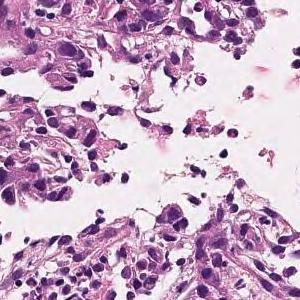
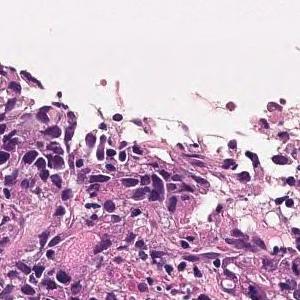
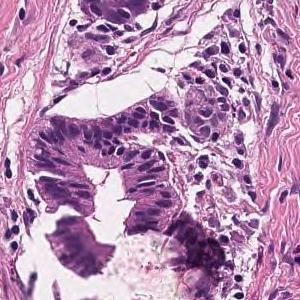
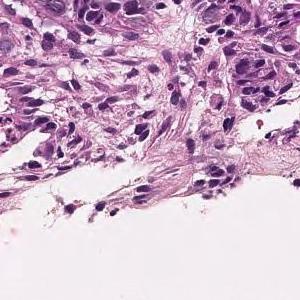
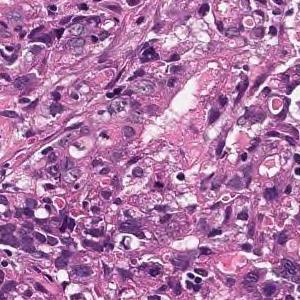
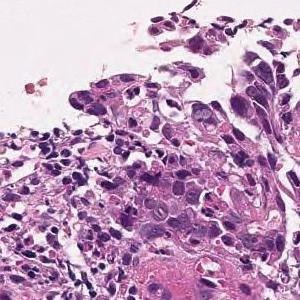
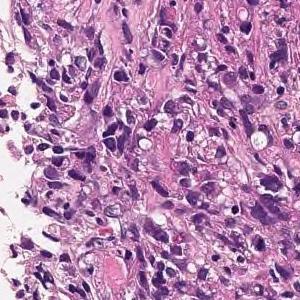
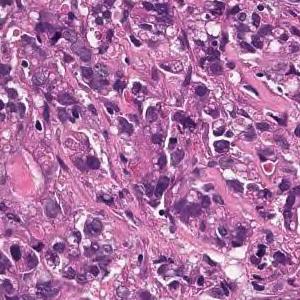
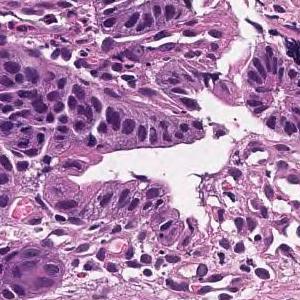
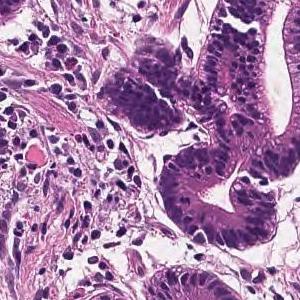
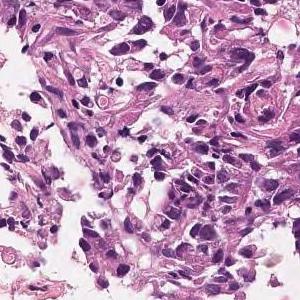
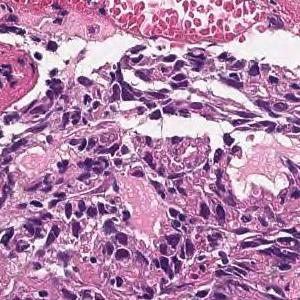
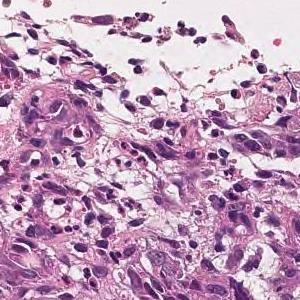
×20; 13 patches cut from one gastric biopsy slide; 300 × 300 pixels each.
Pathology report for the biopsy slide these tiles were cut from. What the report and the diagnosis say applies to the whole slide; these tiles may miss some of the features named and may include tissue that is not tumor.
Tumor tissue consisting of cord-like or small, irregular glandular ducts fused and infiltrated is observed in the superficial epithelium. Poorly differentiated adenocarcinoma, non-solid type
The term "non-solid type" comes from the Japanese Classification of Gastric Carcinoma.
